Hematoxylin and eosin stain; 6 tiles from the same stomach biopsy slide.
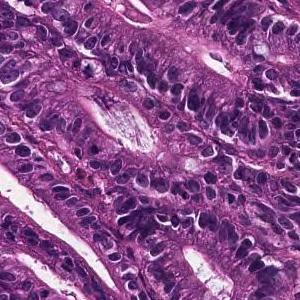
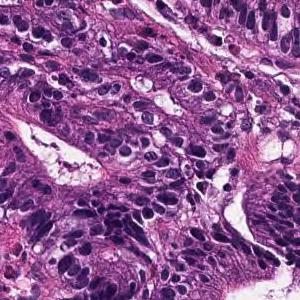
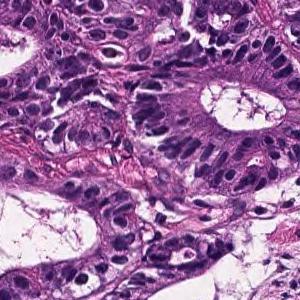
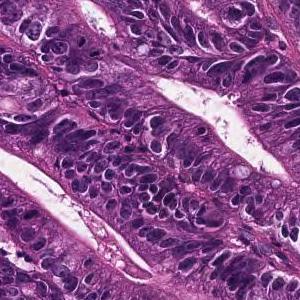
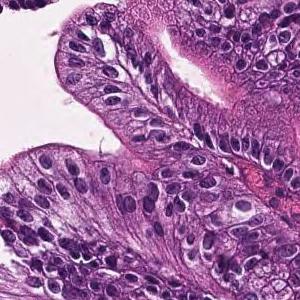
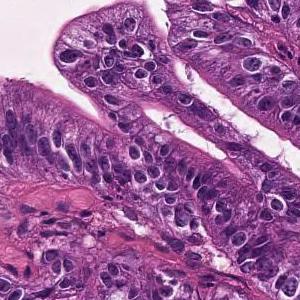
Pathology report for the slide these tiles were cut from. The report describes the whole slide, diagnosis included: not every finding it names need appear in these tiles, which may also show non-tumor tissue.
From the superficial epithelium to the muscularis mucosae, tumor tissue consisting of medium-sized and irregular glandular ducts infiltrating is observed. Well differentiated tubular adenocarcinoma
